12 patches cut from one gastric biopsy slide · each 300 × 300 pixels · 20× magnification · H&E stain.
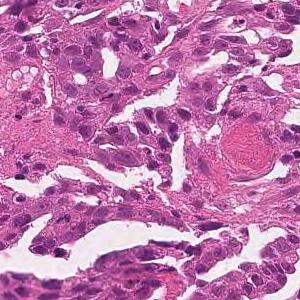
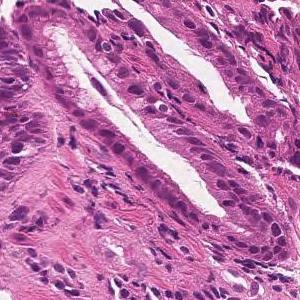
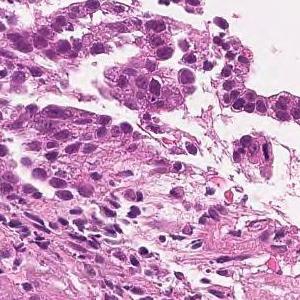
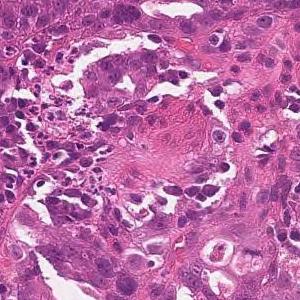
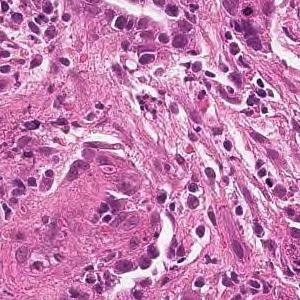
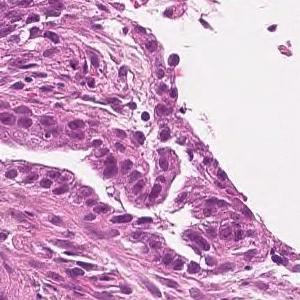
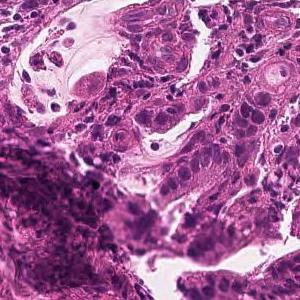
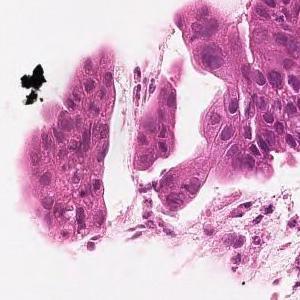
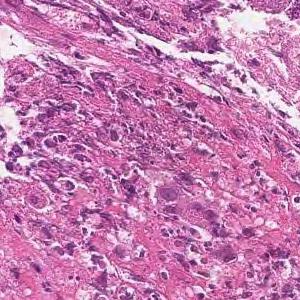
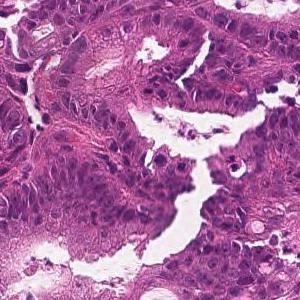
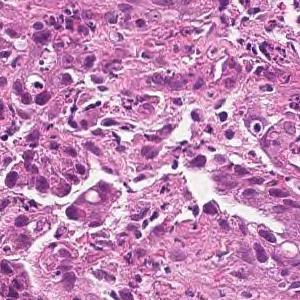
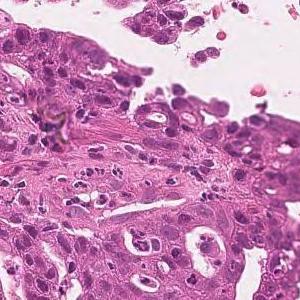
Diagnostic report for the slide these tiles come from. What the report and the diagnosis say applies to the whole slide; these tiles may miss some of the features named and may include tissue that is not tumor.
Tumor tissue consisting of large papillary structures is found in the superficial epithelium. Papillary adenocarcinoma.
